13 patches cut from one gastric biopsy slide · 300×300 px each · H&E.
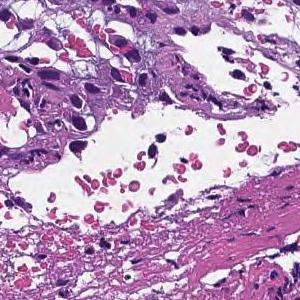
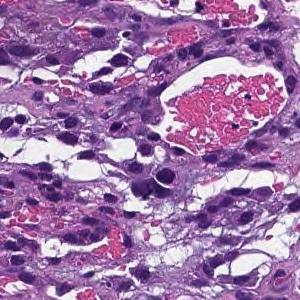
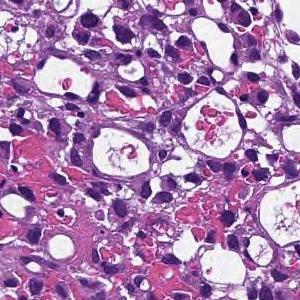
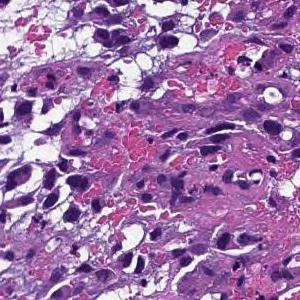
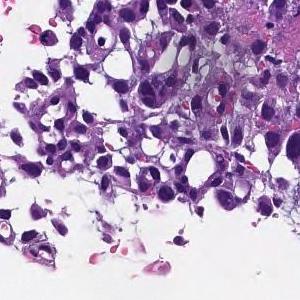
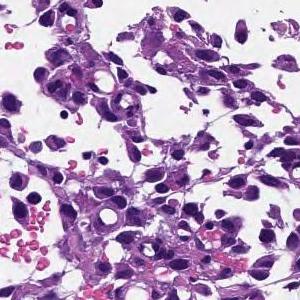
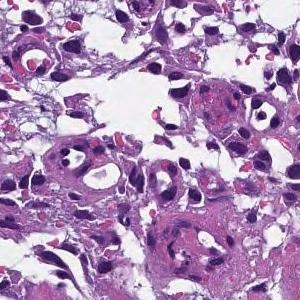
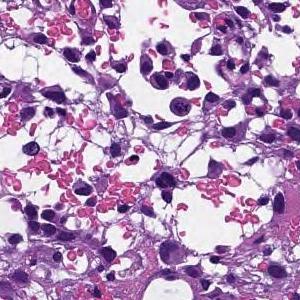
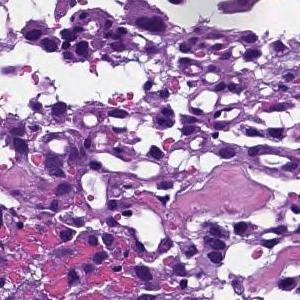
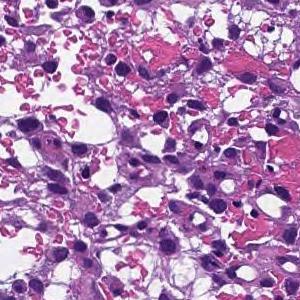
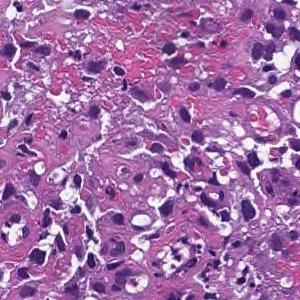
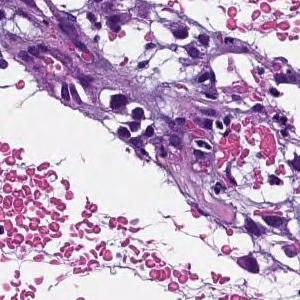
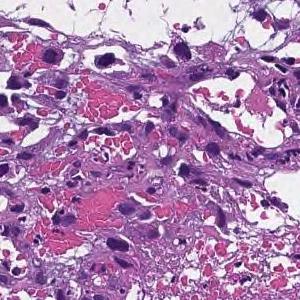
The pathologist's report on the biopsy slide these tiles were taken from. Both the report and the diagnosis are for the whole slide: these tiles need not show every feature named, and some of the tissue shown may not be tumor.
Tumor tissue consisting of cord-like or small, irregular glandular ducts fused and infiltrated is observed in the superficial epithelium. Poorly differentiated adenocarcinoma, non-solid type
The term "non-solid type" comes from the Japanese Classification of Gastric Carcinoma.
